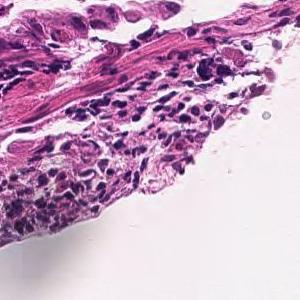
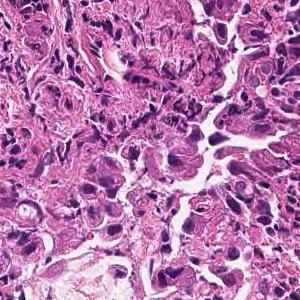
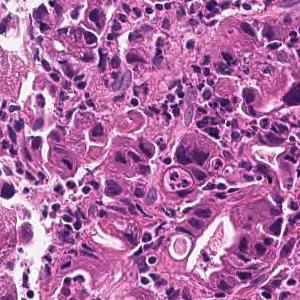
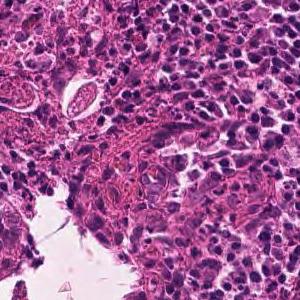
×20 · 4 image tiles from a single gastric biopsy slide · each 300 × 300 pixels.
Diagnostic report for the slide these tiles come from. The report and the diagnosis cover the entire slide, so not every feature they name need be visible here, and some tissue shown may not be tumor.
Medium to small, irregular glandular ducts are formed in the superficial epithelium, and in some cases, the glandular ducts are fused to show solid alveolar lesions and infiltrating tumor tissue is observed. Moderately to poorly differentiated adenocarcinoma.
